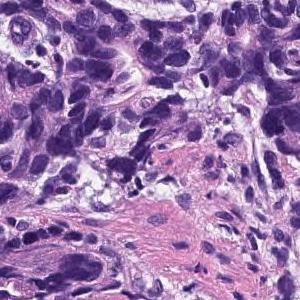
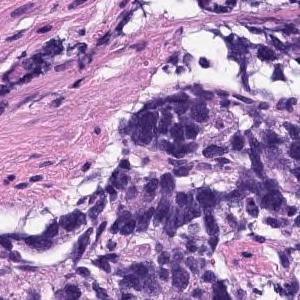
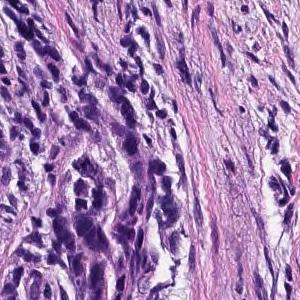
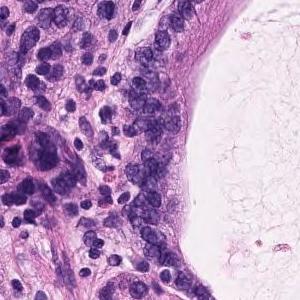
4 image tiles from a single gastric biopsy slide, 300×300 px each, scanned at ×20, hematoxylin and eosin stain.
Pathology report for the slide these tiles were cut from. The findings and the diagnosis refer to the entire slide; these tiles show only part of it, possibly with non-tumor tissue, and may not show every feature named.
On the superficial epithelium, tumor tissue consisting of images showing invasive growth with small, irregular tubules partially fused is observed. moderately differentiated tubular adenocarcinoma
